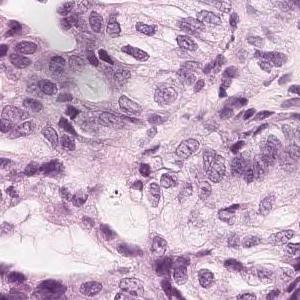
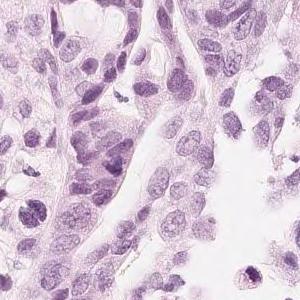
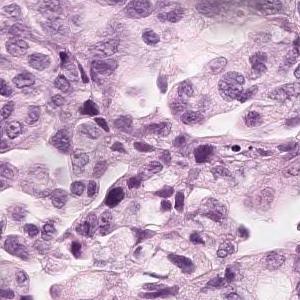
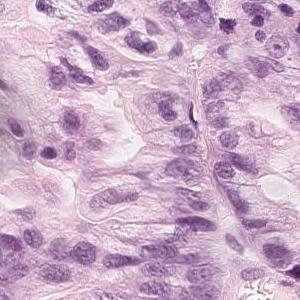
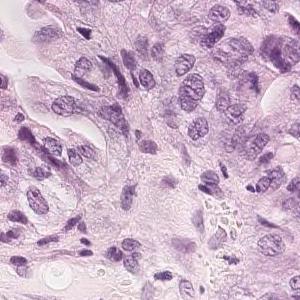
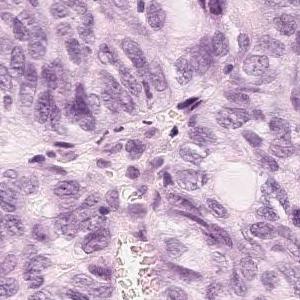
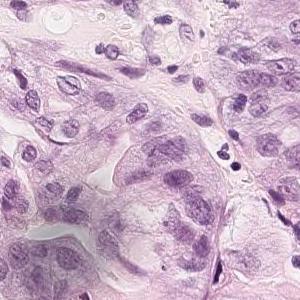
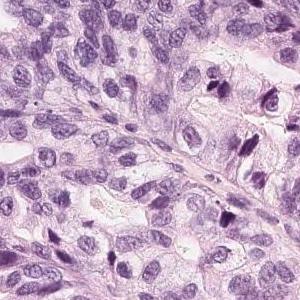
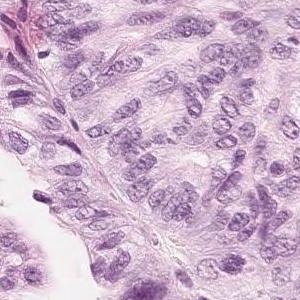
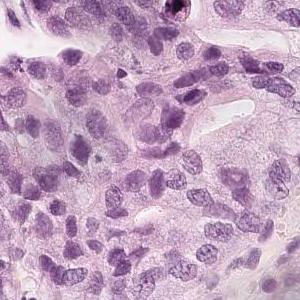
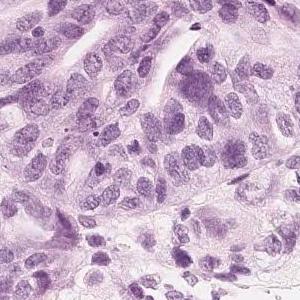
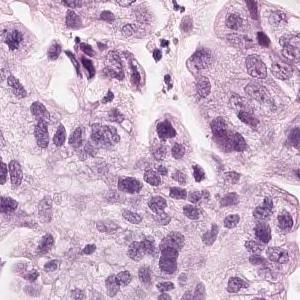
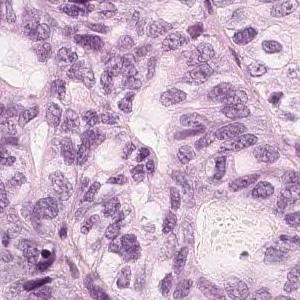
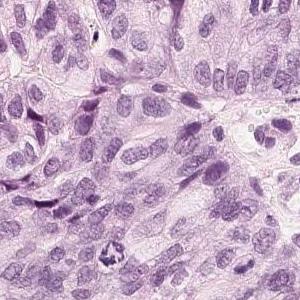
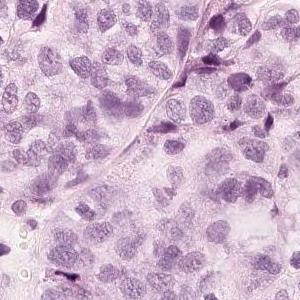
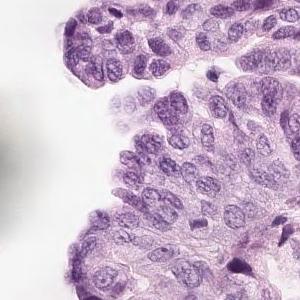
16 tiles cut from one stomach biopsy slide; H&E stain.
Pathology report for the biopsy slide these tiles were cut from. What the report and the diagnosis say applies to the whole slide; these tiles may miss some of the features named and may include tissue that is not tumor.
Tumor tissue in which medium-sized atypical epithelial cells with a large N/C ratio grow densely while becoming alveolar to cord-like with duct formation is observed. moderately differentiated tubular adenocarcinoma
